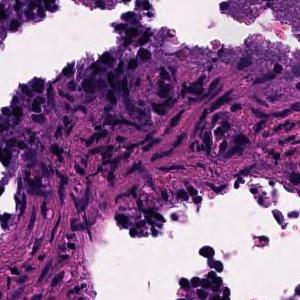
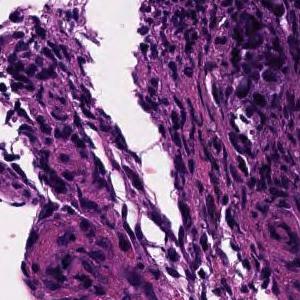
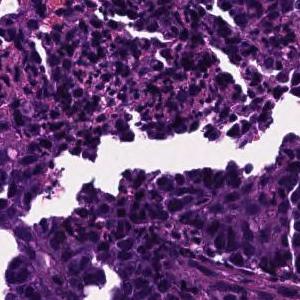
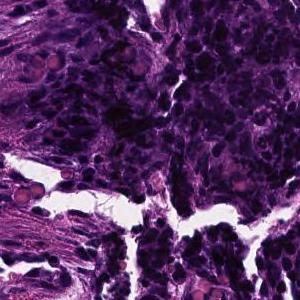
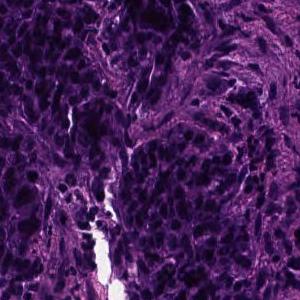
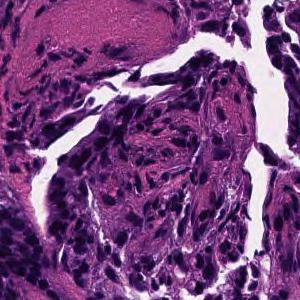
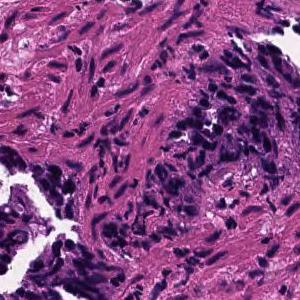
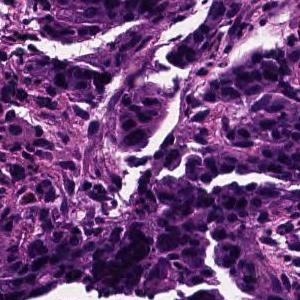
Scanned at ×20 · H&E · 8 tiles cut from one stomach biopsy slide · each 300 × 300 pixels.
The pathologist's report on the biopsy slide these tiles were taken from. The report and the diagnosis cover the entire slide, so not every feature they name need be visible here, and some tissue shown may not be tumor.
In the superficial epithelium, tumor tissue that invades by forming medium-sized to small, irregular ducts is observed. moderately differentiated tubular adenocarcinoma.
